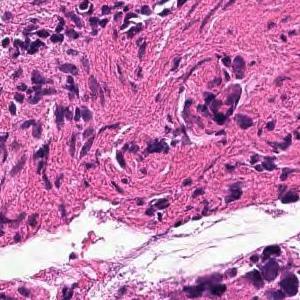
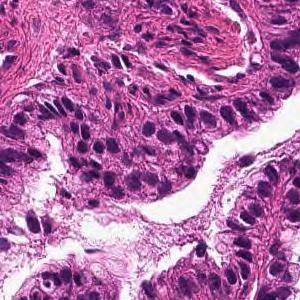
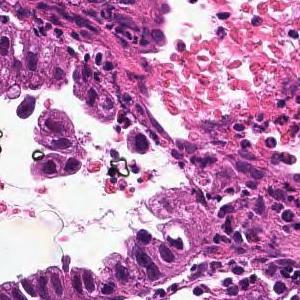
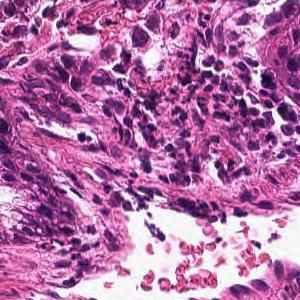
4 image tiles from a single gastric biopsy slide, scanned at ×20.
Diagnostic report for the slide these tiles come from. Both the report and the diagnosis are for the whole slide: these tiles need not show every feature named, and some of the tissue shown may not be tumor.
From the superficial epithelium to the muscularis mucosae, tumor tissue infiltrating by forming medium-sized irregular gland ducts is observed. Well differentiated tubular adenocarcinoma
